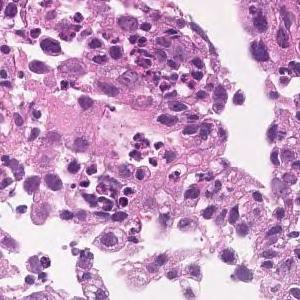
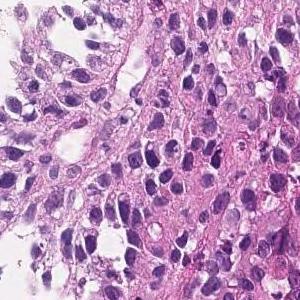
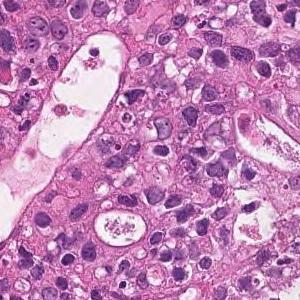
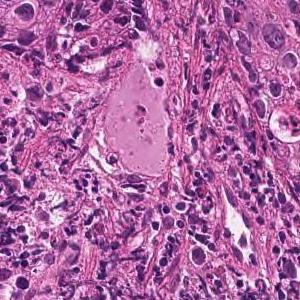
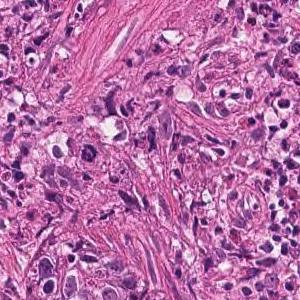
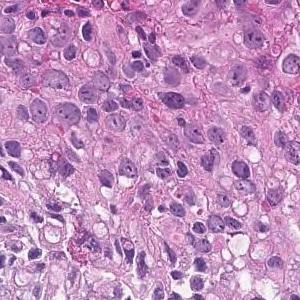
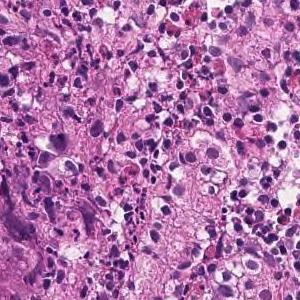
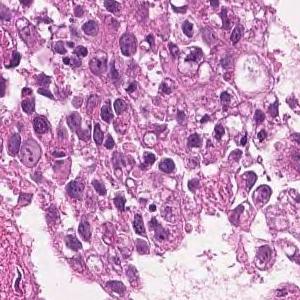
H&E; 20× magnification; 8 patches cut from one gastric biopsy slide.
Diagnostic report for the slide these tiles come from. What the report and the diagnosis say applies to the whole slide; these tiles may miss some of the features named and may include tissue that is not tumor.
The superficial epithelium shows a large sheet-like shape, and some tumor tissue infiltrates with small irregular ducts. Poorly differentiated adenocarcinoma, solid-type
Histological subtype: Poorly differentiated adenocarcinoma, solid type, a category of the Japanese Classification of Gastric Carcinoma; in the WHO 2019 classification it is tubular adenocarcinoma, poorly differentiated.
